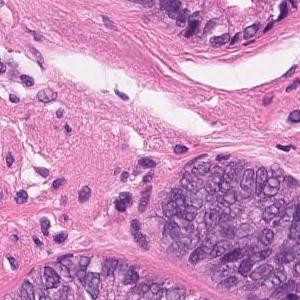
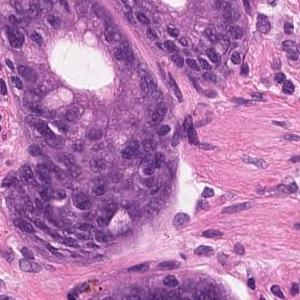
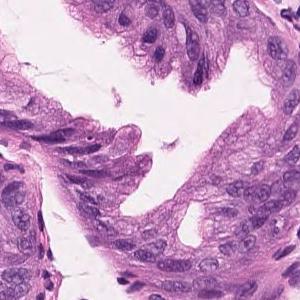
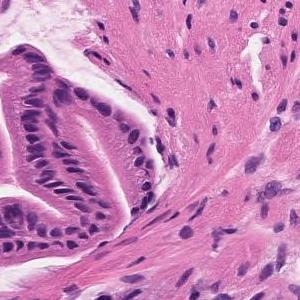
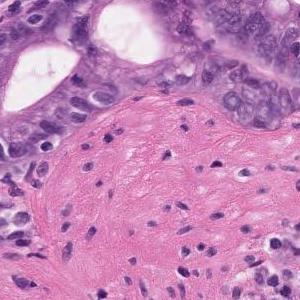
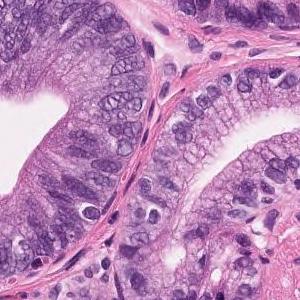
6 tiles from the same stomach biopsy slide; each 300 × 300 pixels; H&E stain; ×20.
Report on the slide these tiles come from. What the report and the diagnosis say applies to the whole slide; these tiles may miss some of the features named and may include tissue that is not tumor.
Atypical l cells with atypical nuclei forming irregular glandular ducts. Well differentiated tubuar adenocarcinoma (well differentiated tubular adenocarcinoma)
Histologic type: Well differentiated tubular adenocarcinoma.
